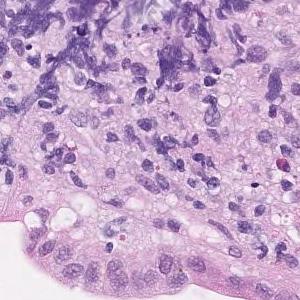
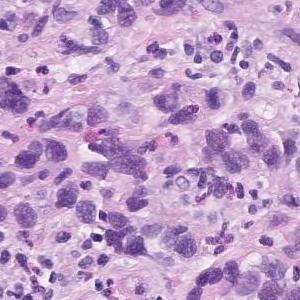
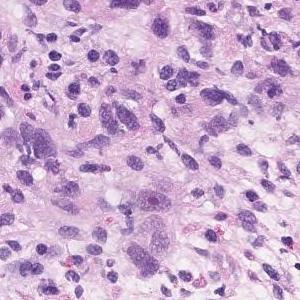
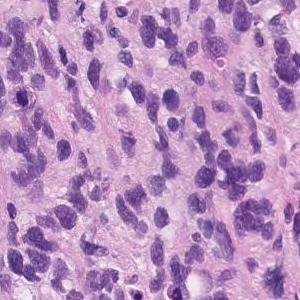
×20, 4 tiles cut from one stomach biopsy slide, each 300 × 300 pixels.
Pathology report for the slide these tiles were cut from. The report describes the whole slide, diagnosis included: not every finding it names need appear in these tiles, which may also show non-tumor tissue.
Atypical l cells with atypical nuclei under the mucosa growing in isolation and scattered. Poorly differentiated adenocarcinoma (poorly differentiated adenocarcinoma, non-solid type)
Classified as poorly differentiated adenocarcinoma, non-solid type.
"Non-solid type" is a category of the Japanese Classification of Gastric Carcinoma.
